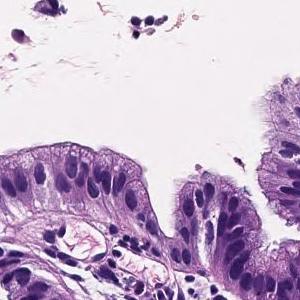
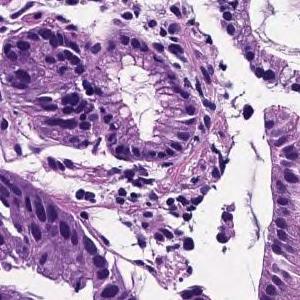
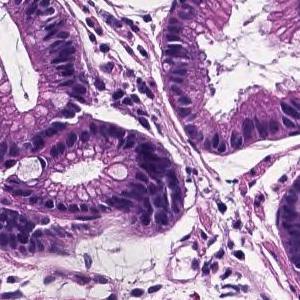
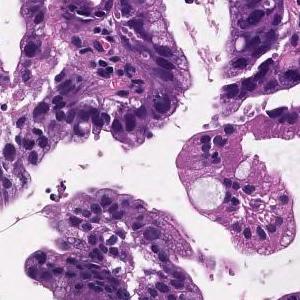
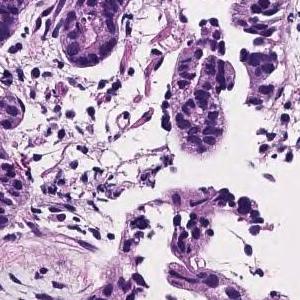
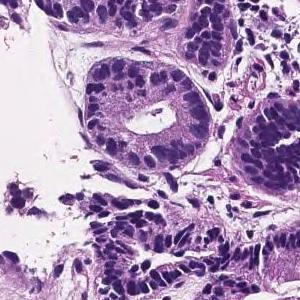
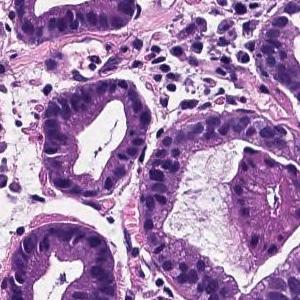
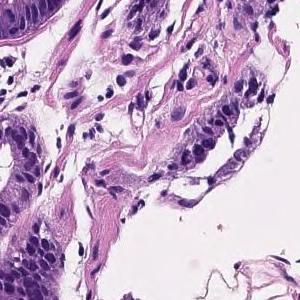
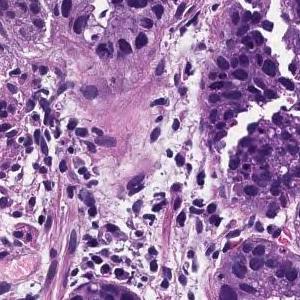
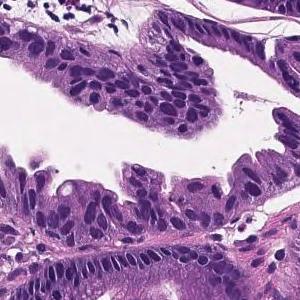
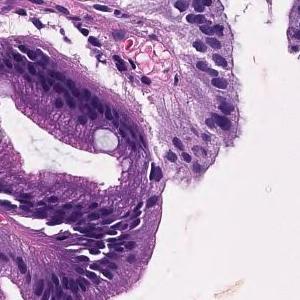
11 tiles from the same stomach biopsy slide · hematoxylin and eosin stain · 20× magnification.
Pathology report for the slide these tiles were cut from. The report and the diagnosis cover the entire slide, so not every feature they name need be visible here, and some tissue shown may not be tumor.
Tumor cells are large, highly columnar, large club-shaped nuclei, and are associated with chromatin aggregation. Papillary adenocarcinoma.
